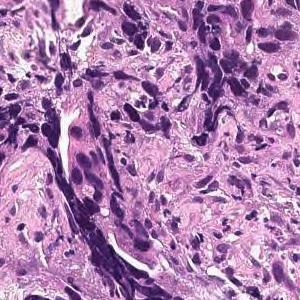
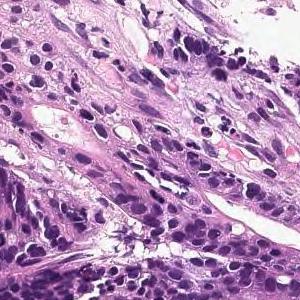
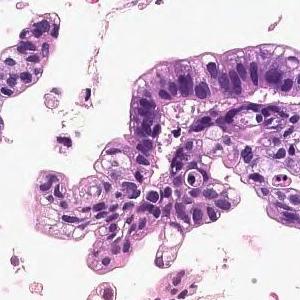
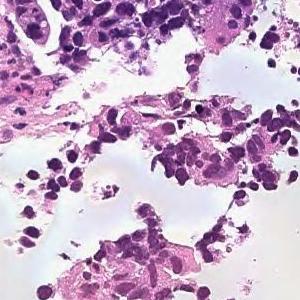
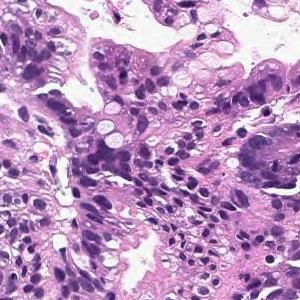
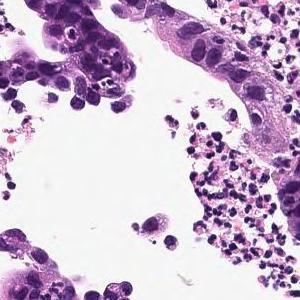
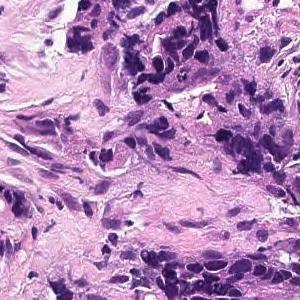
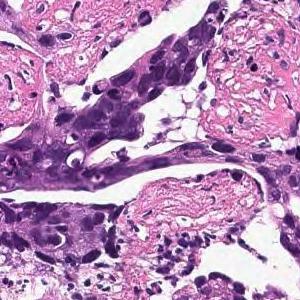
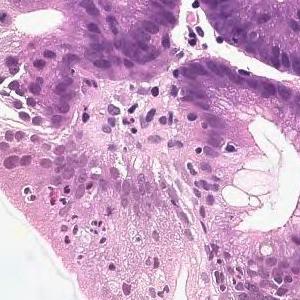
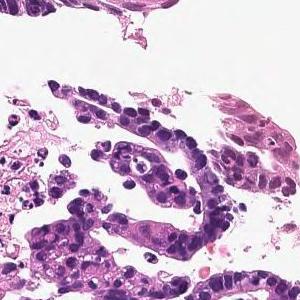
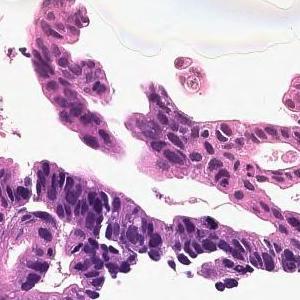
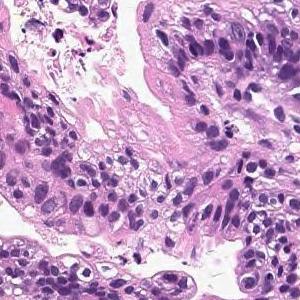
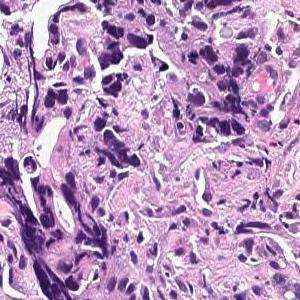
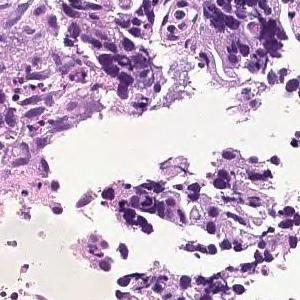
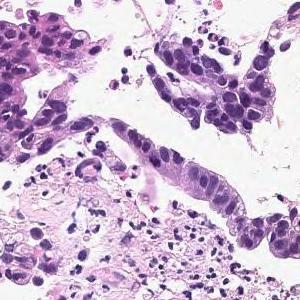
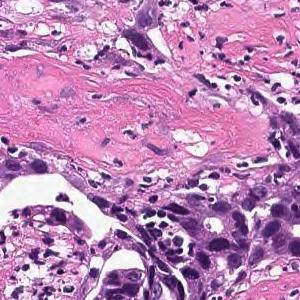
16 patches cut from one gastric biopsy slide · ×20 · hematoxylin and eosin stain.
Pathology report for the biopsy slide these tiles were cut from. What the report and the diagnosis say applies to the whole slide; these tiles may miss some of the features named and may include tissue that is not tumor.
In the superficial epithelium, tumor tissue that invades by forming medium-sized to small, irregular ducts is observed. moderately differentiated tubular adenocarcinoma.
